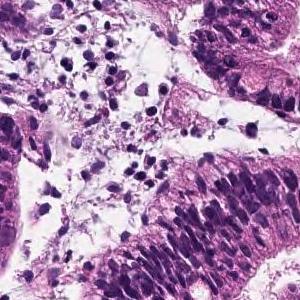
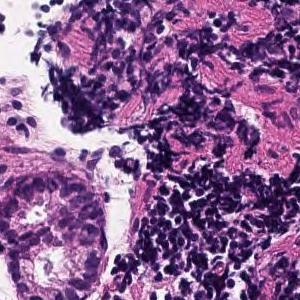
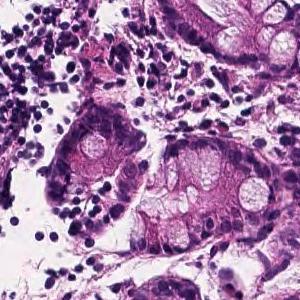
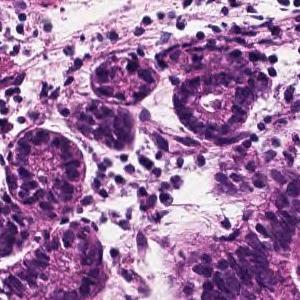
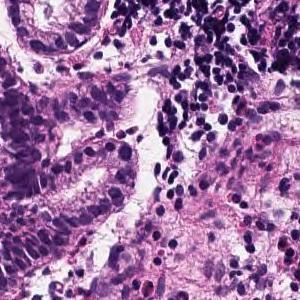
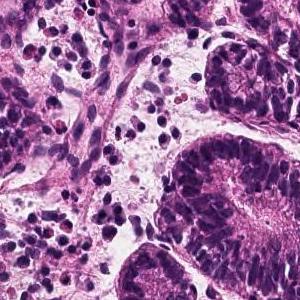
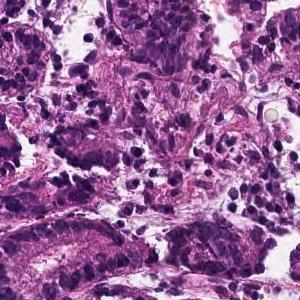
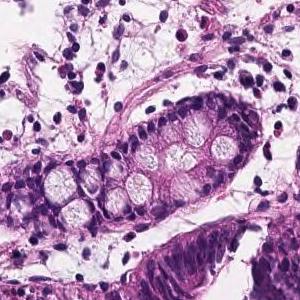
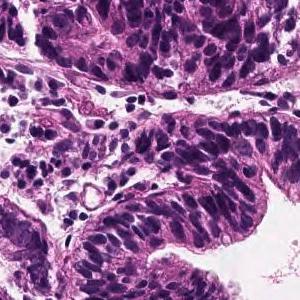
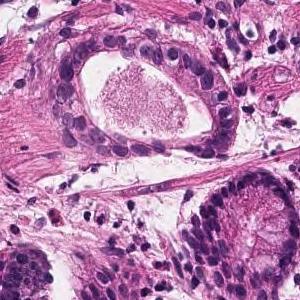
H&E, ×20, 10 tiles cut from one stomach biopsy slide.
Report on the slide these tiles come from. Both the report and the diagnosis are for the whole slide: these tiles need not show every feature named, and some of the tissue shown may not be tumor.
Tumor cells are large, highly columnar, large club-shaped nuclei, and are associated with chromatin aggregation. Papillary adenocarcinoma.
